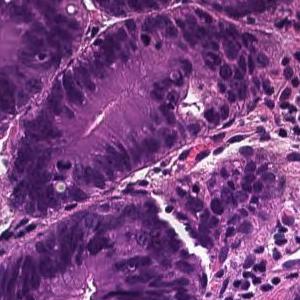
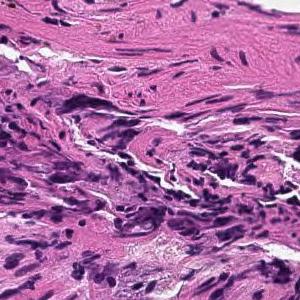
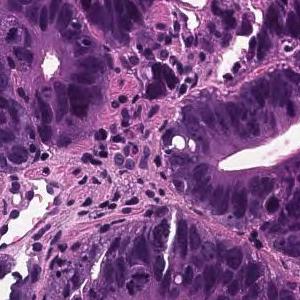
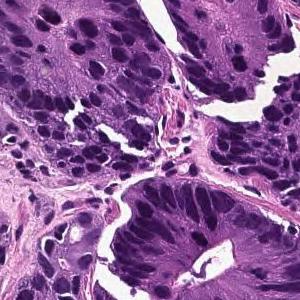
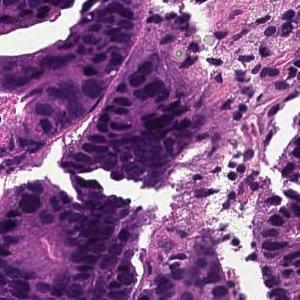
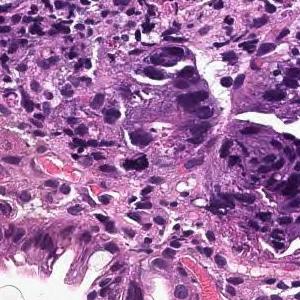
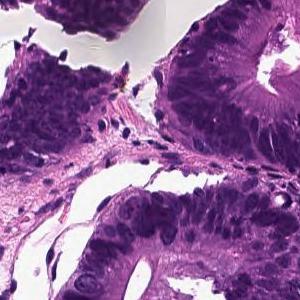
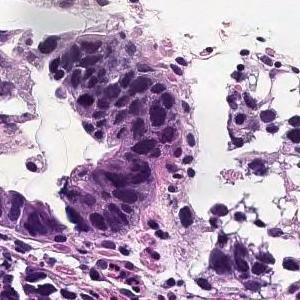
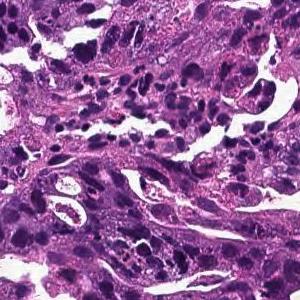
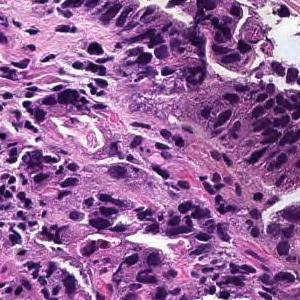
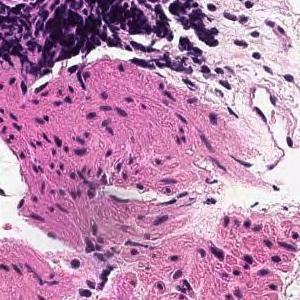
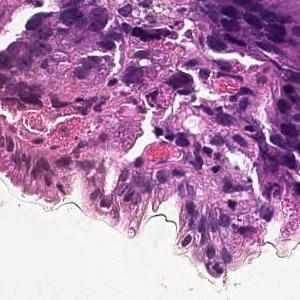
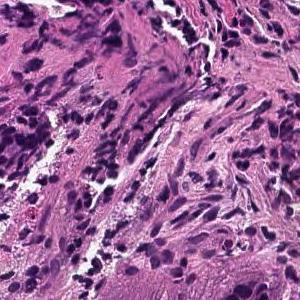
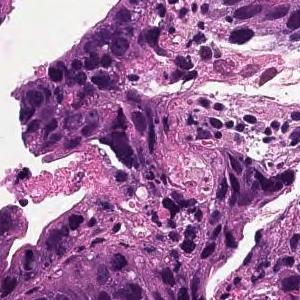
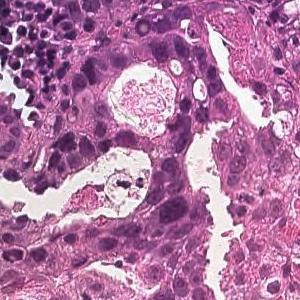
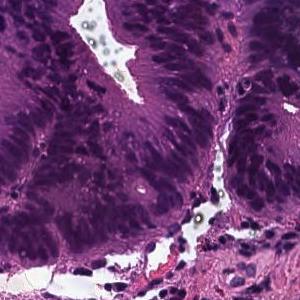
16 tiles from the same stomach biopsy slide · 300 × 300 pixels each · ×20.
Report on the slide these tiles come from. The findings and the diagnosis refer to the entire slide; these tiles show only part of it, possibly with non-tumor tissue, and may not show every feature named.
In the superficial epithelium, tumor tissue that invades by forming medium-sized to small, irregular ducts is observed. moderately differentiated tubular adenocarcinoma.
